Scanned at ×20, H&E, 12 tiles cut from one stomach biopsy slide, 300 × 300 pixels each.
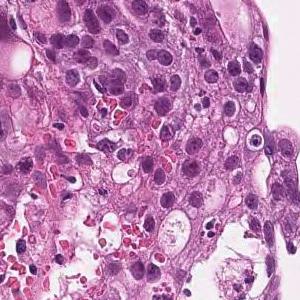
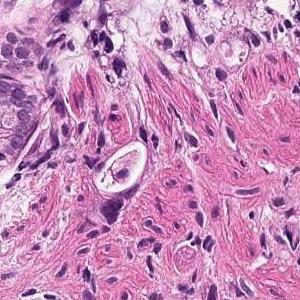
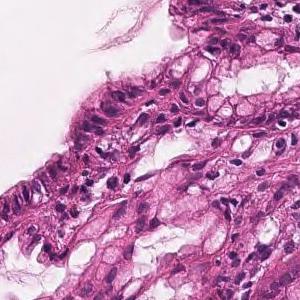
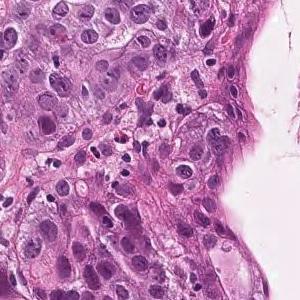
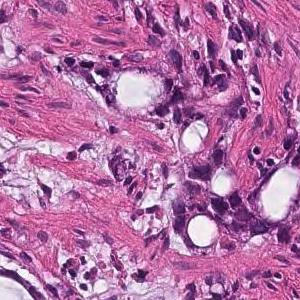
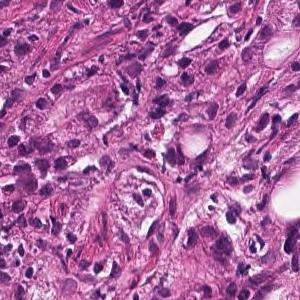
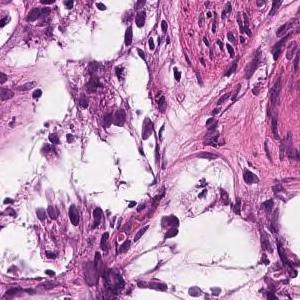
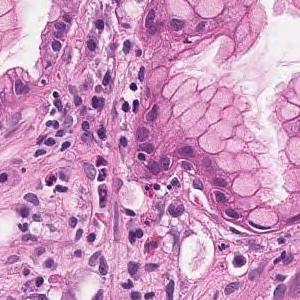
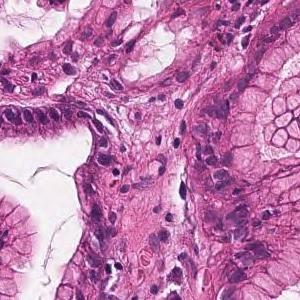
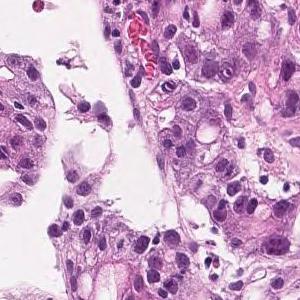
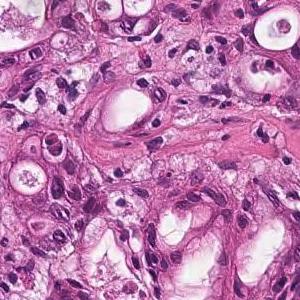
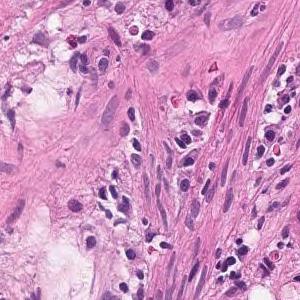
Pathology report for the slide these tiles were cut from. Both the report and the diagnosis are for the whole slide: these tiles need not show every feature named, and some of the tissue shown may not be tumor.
In the gastric mucosal tissue, tumor tissue that forms irregular glandular cavities of medium to small size or shows small cords and infiltrates is observed. moderately differentiated tubular adenocarcinoma
